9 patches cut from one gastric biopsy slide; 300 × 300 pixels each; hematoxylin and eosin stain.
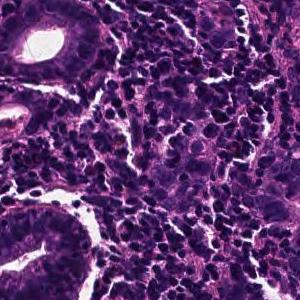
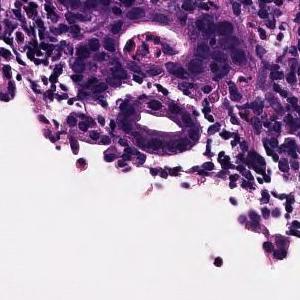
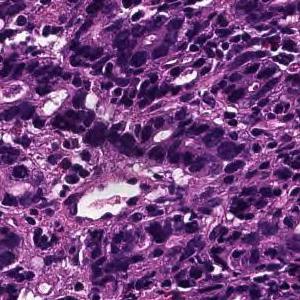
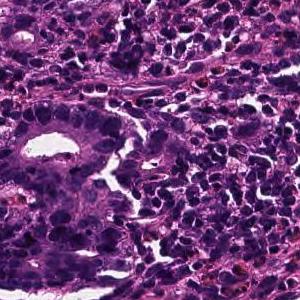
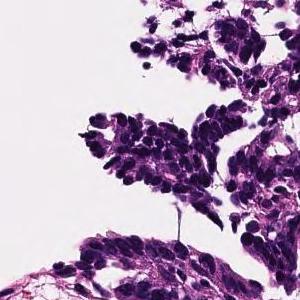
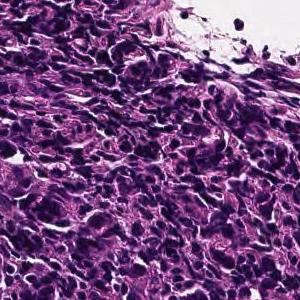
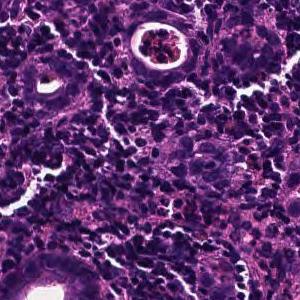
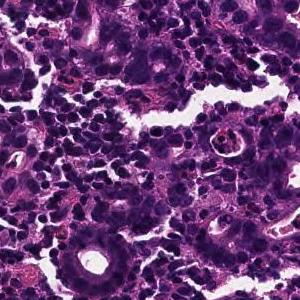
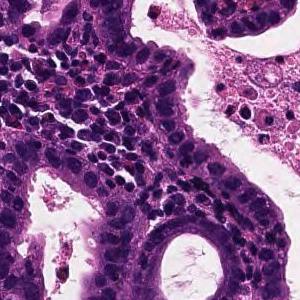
Pathology report for the biopsy slide these tiles were cut from. The findings and the diagnosis refer to the entire slide; these tiles show only part of it, possibly with non-tumor tissue, and may not show every feature named.
On the superficial epithelium, tumor tissue is found in which medium-sized irregular gland ducts fuse with each other and infiltrate. moderately differentiated tubular adenocarcinoma or Poorly differentiated adenocarcinoma, non-solid type
Subtype: Moderately to poorly differentiated adenocarcinoma.
"Non-solid type" is a category of the Japanese Classification of Gastric Carcinoma.
